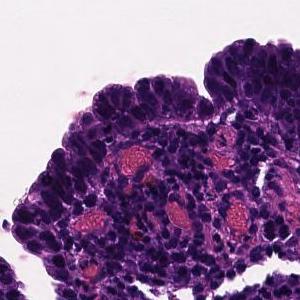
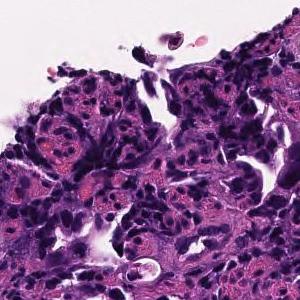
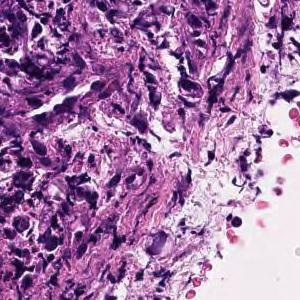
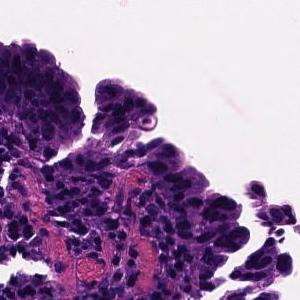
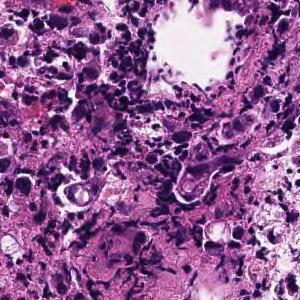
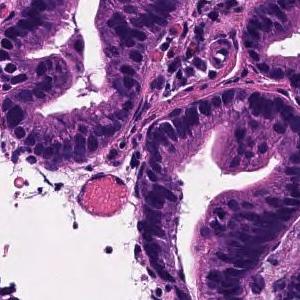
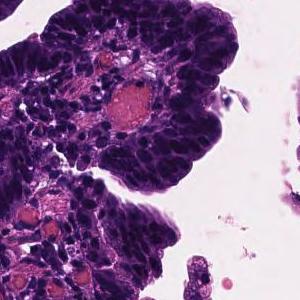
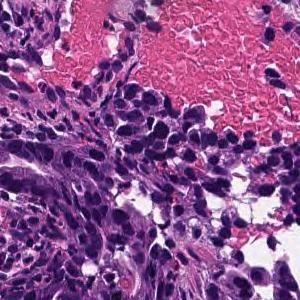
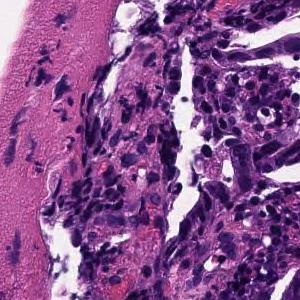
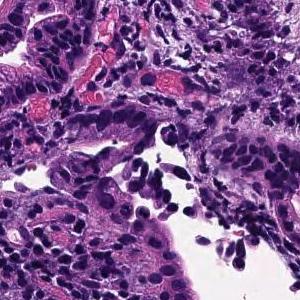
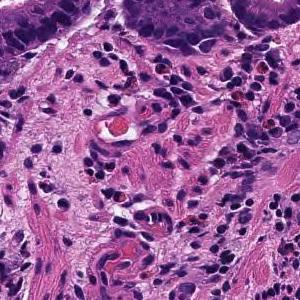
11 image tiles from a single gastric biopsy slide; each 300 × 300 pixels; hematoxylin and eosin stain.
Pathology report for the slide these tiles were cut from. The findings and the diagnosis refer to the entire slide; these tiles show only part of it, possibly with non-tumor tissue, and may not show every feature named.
On the superficial epithelium, tumor tissue that infiltrates by forming medium-sized papillary or small irregular ducts is observed. Papillary adenocarcinoma
